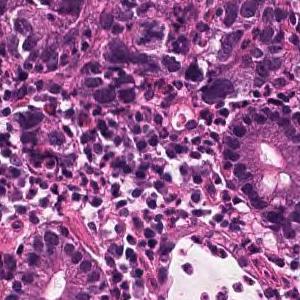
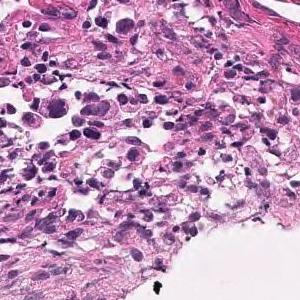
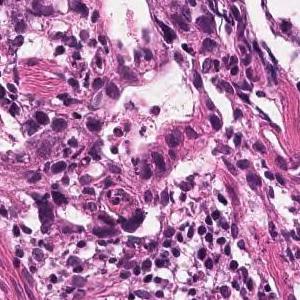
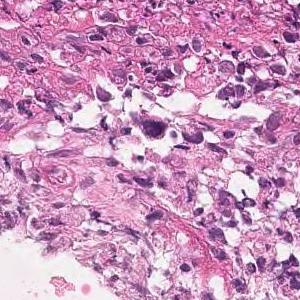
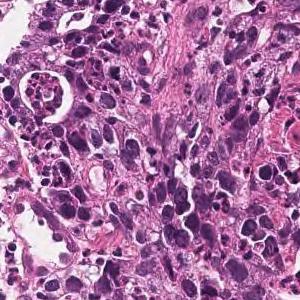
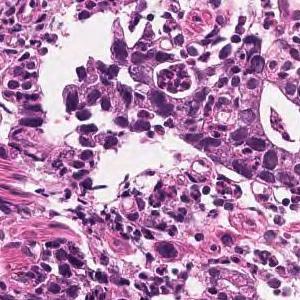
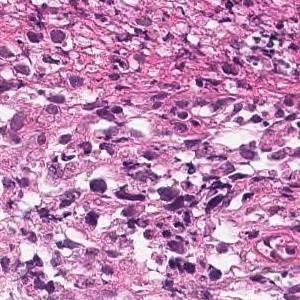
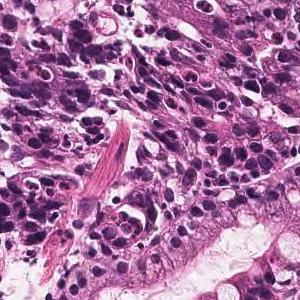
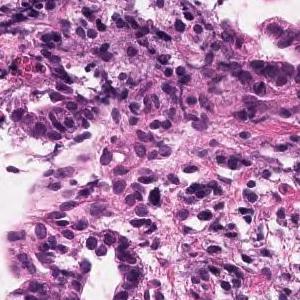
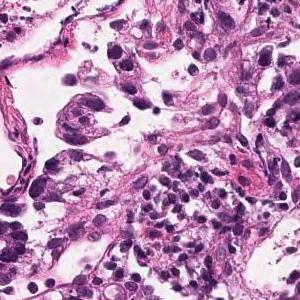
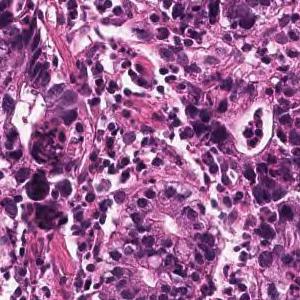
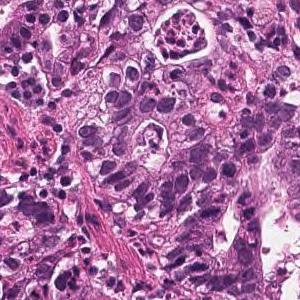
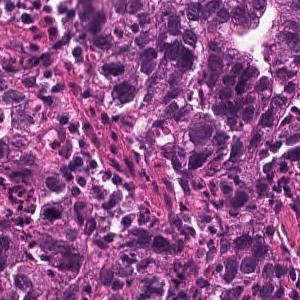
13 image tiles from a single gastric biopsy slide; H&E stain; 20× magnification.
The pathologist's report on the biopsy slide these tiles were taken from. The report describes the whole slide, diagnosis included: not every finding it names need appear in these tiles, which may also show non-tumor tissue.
In the superficial epithelium, tumor tissue that invades by forming medium-sized to small, irregular ducts is observed. Moderately differentiated adenocarcinoma.
Tumor subtype: moderately differentiated tubular adenocarcinoma.
